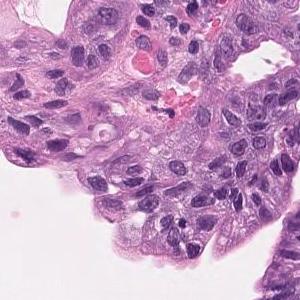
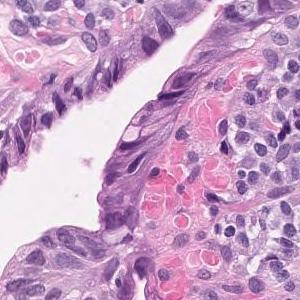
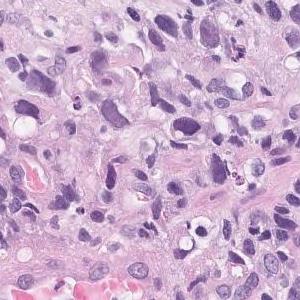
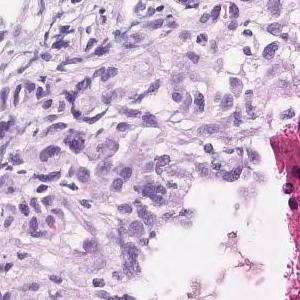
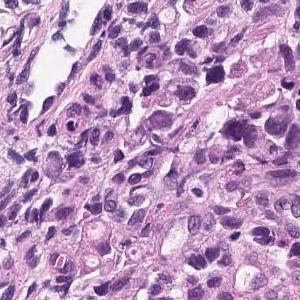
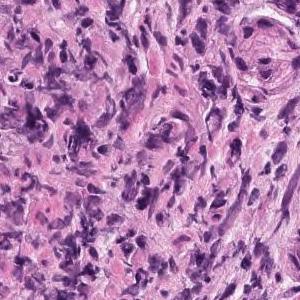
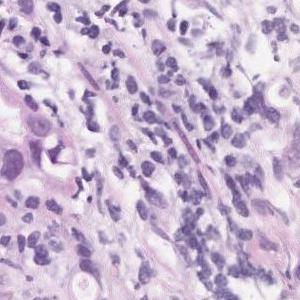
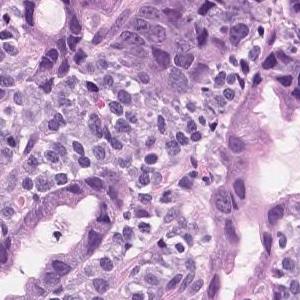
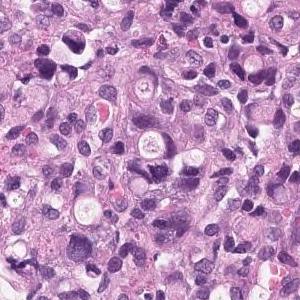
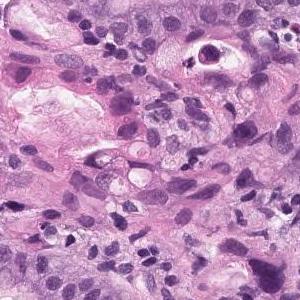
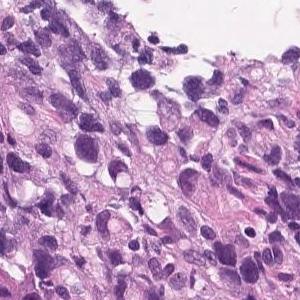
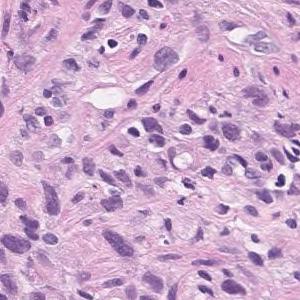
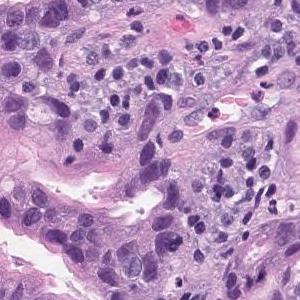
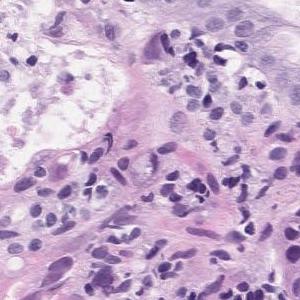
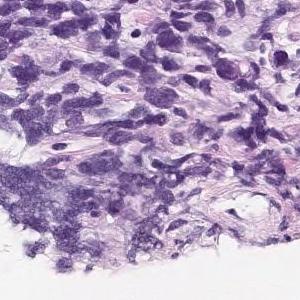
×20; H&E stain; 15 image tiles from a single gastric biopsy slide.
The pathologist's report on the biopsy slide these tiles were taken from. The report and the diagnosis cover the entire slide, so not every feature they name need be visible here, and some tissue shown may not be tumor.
Tumor tissue consisting of medium-sized, cord-like or irregular glandular infiltration is observed in the superficial epithelium. Poorly differentiated adenocarcinoma, non-solid type or moderately differentiated tubular adenocarcinoma
Dataset label: poorly differentiated adenocarcinoma, non-solid type.
"Non-solid type" is a category of the Japanese Classification of Gastric Carcinoma.
